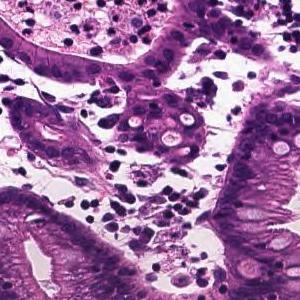
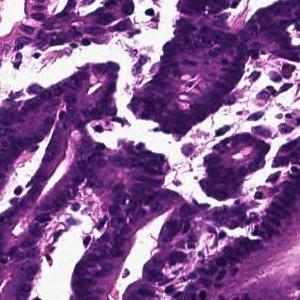
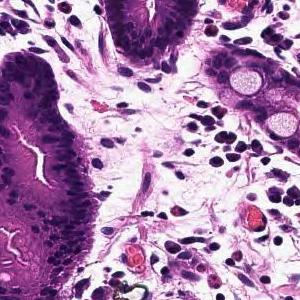
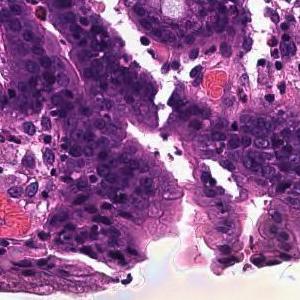
4 tiles from the same stomach biopsy slide, each 300 × 300 pixels, ×20, hematoxylin and eosin stain.
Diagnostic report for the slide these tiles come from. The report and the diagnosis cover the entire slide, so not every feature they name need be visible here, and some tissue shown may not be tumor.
Tumor tissue that infiltrates by forming large papillary or large irregular glandular ducts is observed confined to the mucosa. Papillary adenocarcinoma
